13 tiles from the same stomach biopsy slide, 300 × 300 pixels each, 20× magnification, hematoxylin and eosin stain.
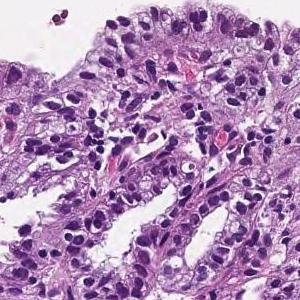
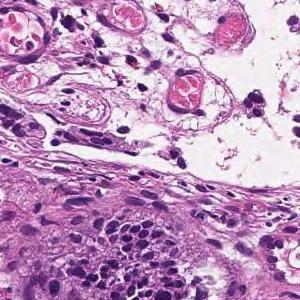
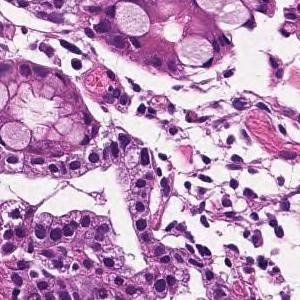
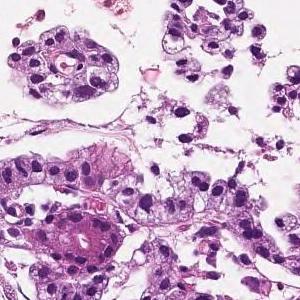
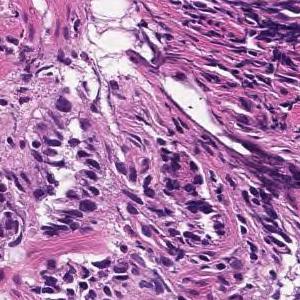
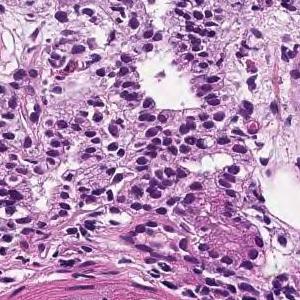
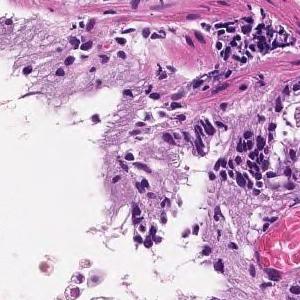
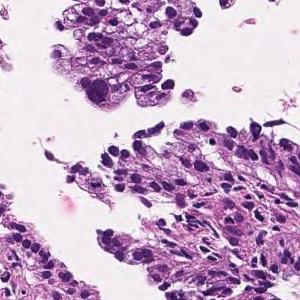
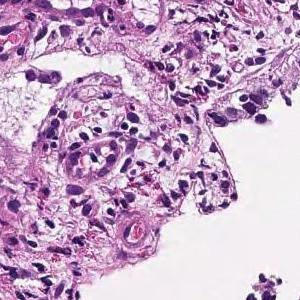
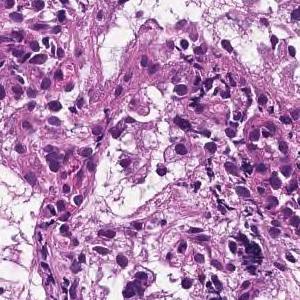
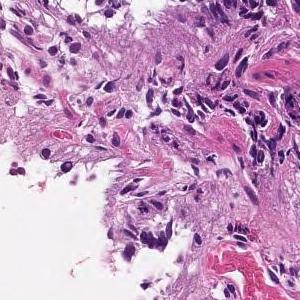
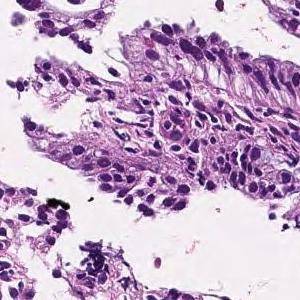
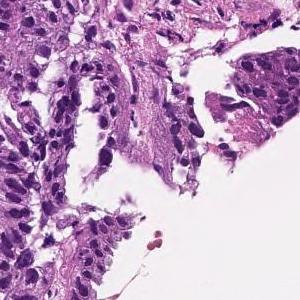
Pathology report for the slide these tiles were cut from. Both the report and the diagnosis are for the whole slide: these tiles need not show every feature named, and some of the tissue shown may not be tumor.
On the superficial epithelium, tumor tissue that infiltrates by forming medium-sized papillary or small irregular ducts is observed. Papillary adenocarcinoma
